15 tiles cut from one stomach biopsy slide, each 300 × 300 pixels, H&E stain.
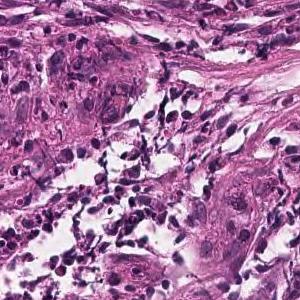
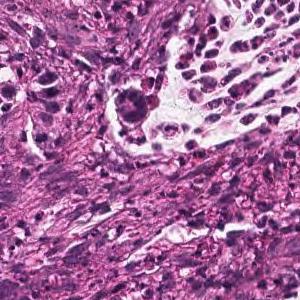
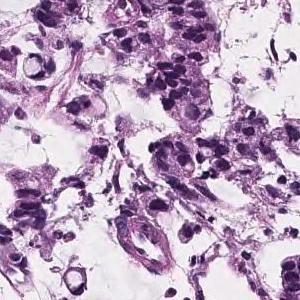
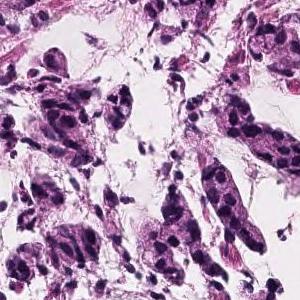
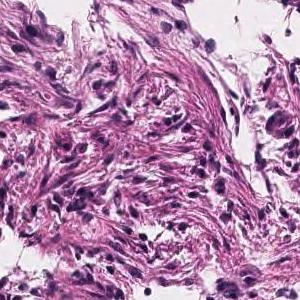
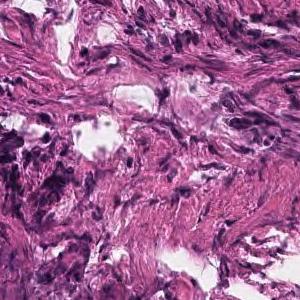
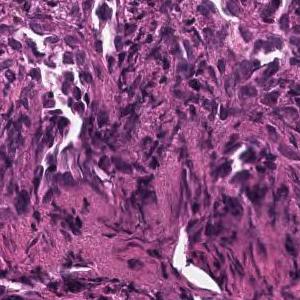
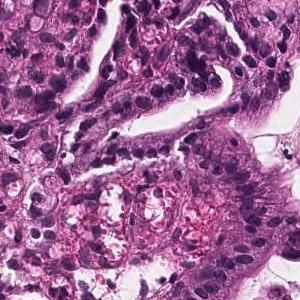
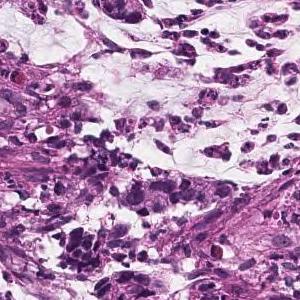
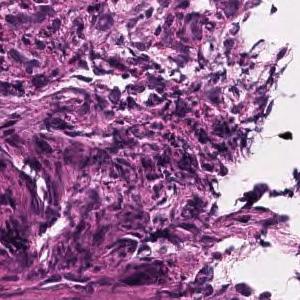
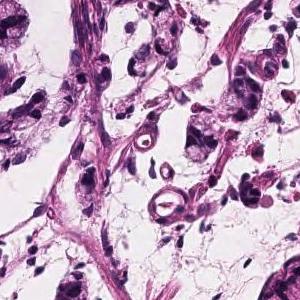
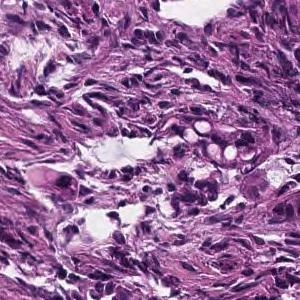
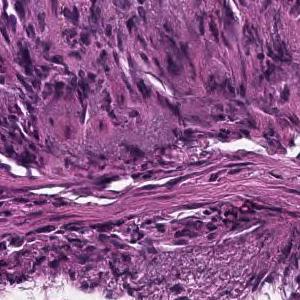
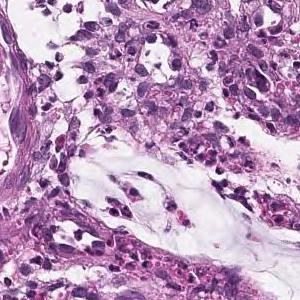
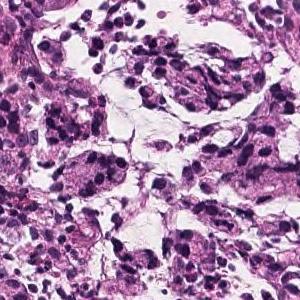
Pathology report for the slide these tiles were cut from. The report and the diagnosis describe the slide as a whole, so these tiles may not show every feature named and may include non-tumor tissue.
Atypical epithelial cells form obscure ductal structures or small solid follicles, and tumor tissue that proliferates invasively with proliferation of inflammatory granulation tissue is observed. Mucinous adenocarcinoma .
